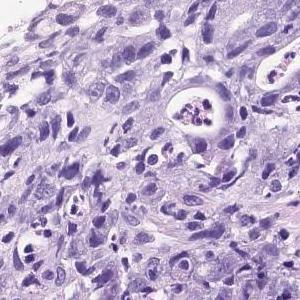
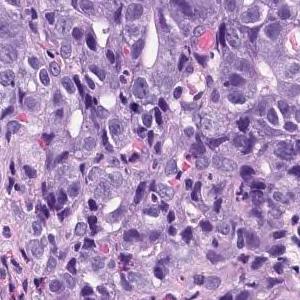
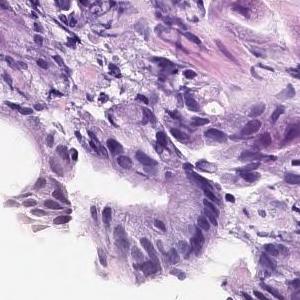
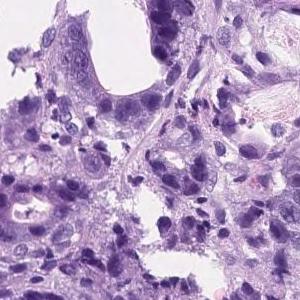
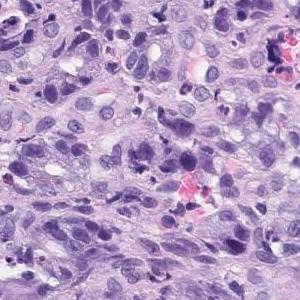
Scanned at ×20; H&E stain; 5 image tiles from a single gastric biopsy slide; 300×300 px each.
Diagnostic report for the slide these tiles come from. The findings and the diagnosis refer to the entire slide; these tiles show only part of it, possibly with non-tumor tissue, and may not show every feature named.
In the superficial epithelium, tumor tissue that invades by forming medium-sized to small, irregular ducts is observed. Moderately differentiated adenocarcinoma.
Subtype: Moderately differentiated tubular adenocarcinoma.
